8 patches cut from one gastric biopsy slide; each 300 × 300 pixels.
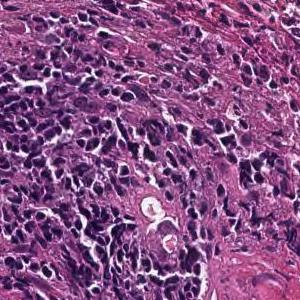
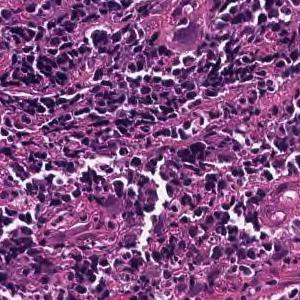
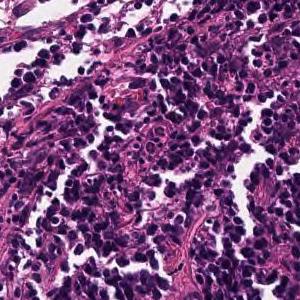
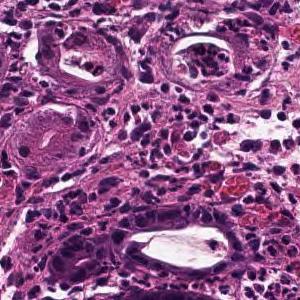
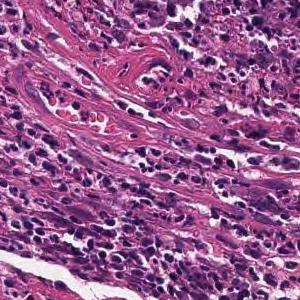
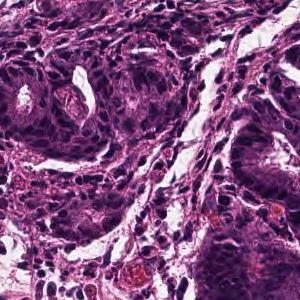
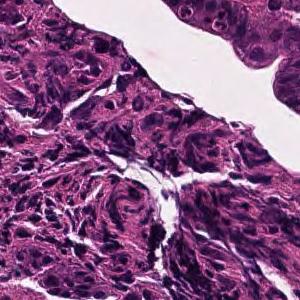
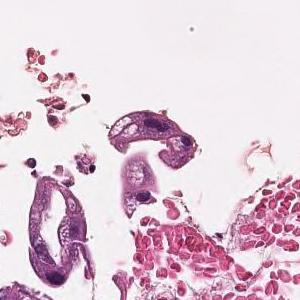
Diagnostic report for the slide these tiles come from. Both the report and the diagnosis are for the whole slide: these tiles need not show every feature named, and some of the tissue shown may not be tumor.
Tumor tissue consisting of cord-like or small, irregular glandular ducts fused and infiltrated is observed in the superficial epithelium. Poorly differentiated adenocarcinoma, non-solid type
The non-solid type named here is a Japanese Classification of Gastric Carcinoma category.
